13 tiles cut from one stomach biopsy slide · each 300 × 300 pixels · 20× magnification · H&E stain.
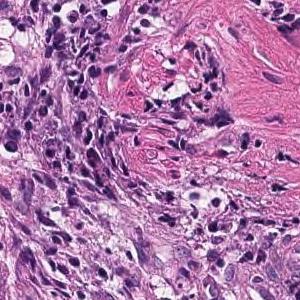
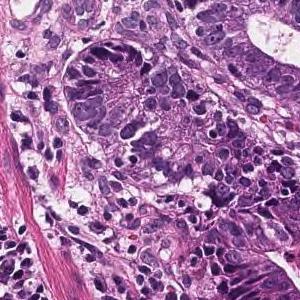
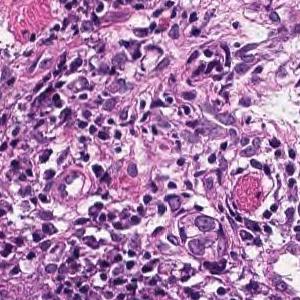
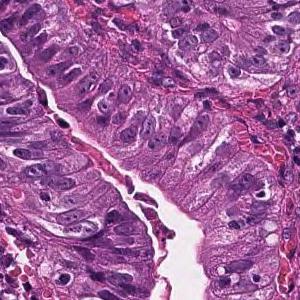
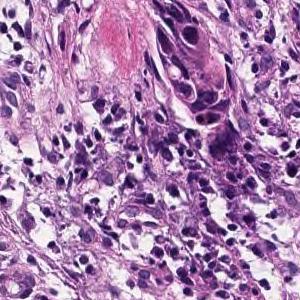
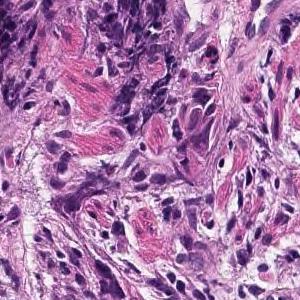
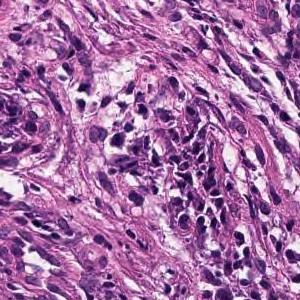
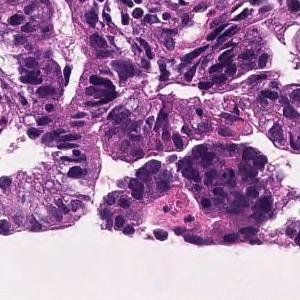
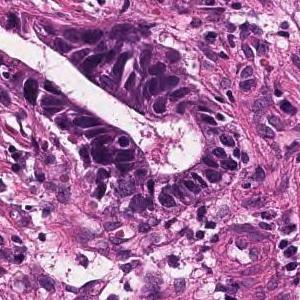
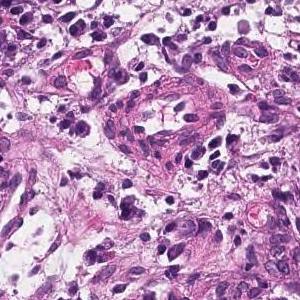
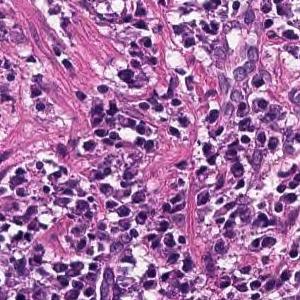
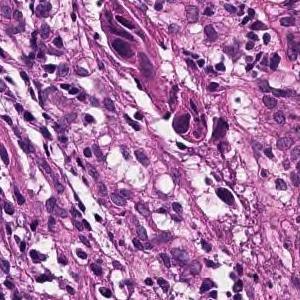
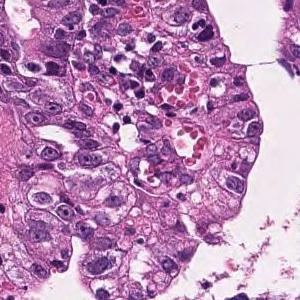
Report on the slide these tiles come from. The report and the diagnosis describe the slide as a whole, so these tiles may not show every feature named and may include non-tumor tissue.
From the superficial epithelium to the muscularis mucosae, tumor tissue infiltrating by forming medium-sized irregular gland ducts is observed. Large tumor cells exhibit large nucleus and hyperchromatism. Well differentiated tubular adenocarcinoma
